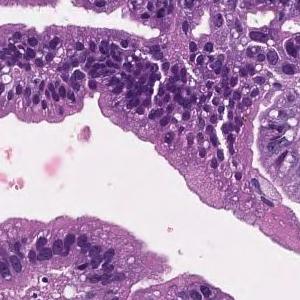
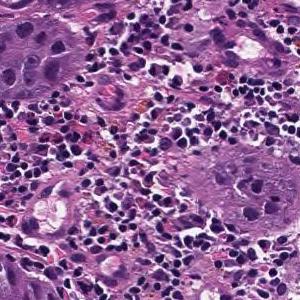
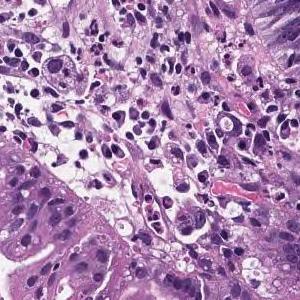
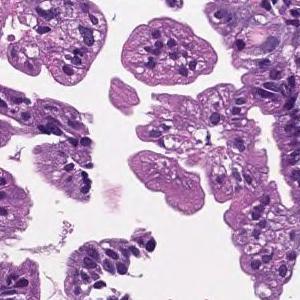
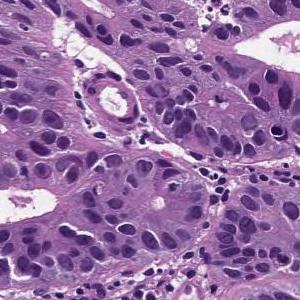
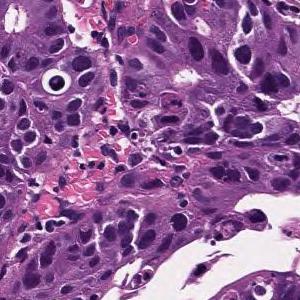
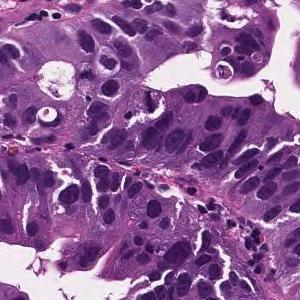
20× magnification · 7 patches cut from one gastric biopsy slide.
Pathology report for the biopsy slide these tiles were cut from. The report and the diagnosis cover the entire slide, so not every feature they name need be visible here, and some tissue shown may not be tumor.
Tumor cells are large, highly columnar, large club-shaped nuclei, and are associated with chromatin aggregation. Papillary adenocarcinoma.
